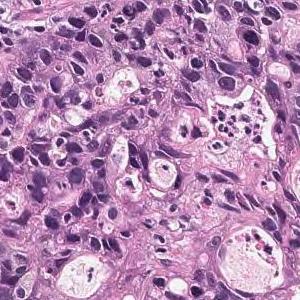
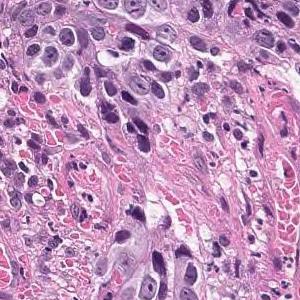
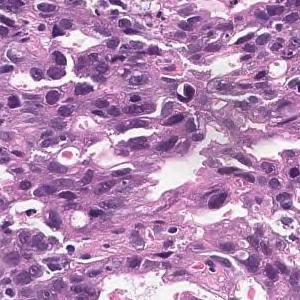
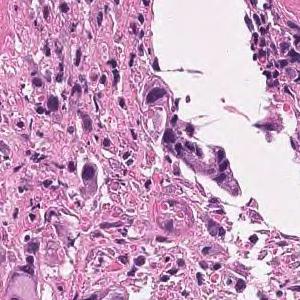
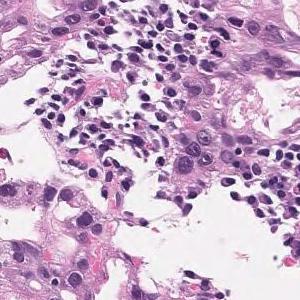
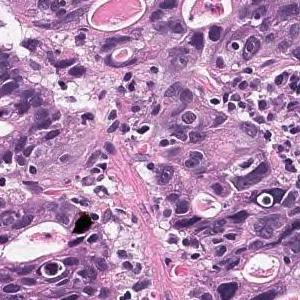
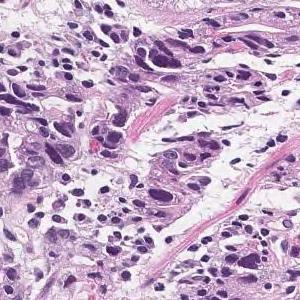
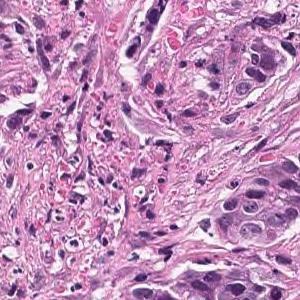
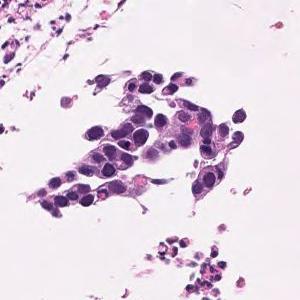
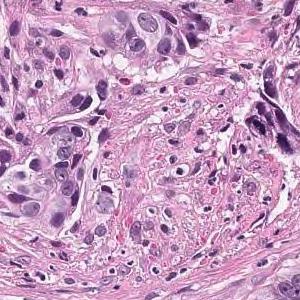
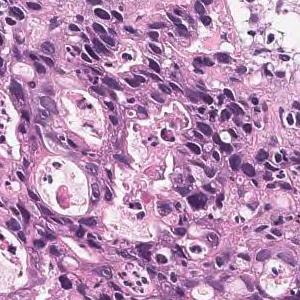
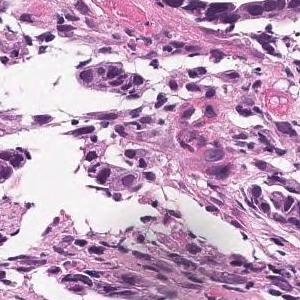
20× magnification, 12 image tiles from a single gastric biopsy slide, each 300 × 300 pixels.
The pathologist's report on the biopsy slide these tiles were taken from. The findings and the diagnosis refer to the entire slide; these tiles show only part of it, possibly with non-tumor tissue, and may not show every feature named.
Tumor cells are large, highly columnar, large club-shaped nuclei, and are associated with chromatin aggregation. Papillary adenocarcinoma.
